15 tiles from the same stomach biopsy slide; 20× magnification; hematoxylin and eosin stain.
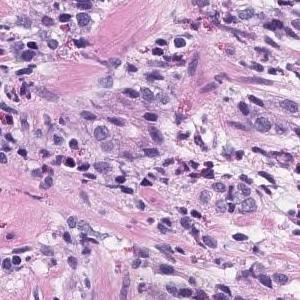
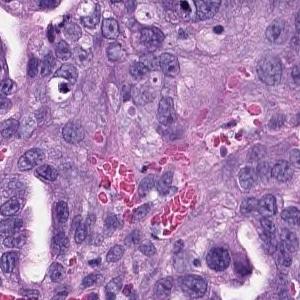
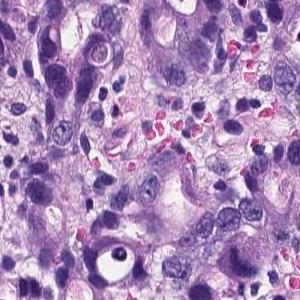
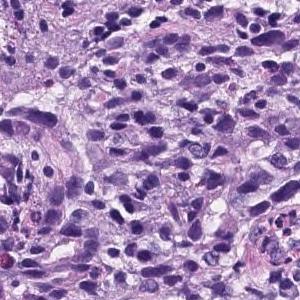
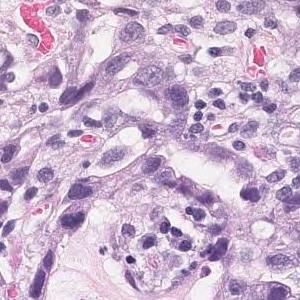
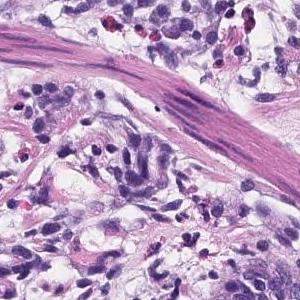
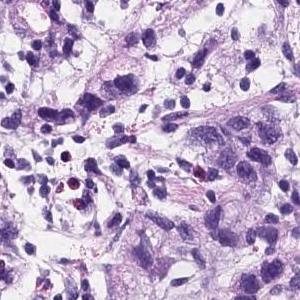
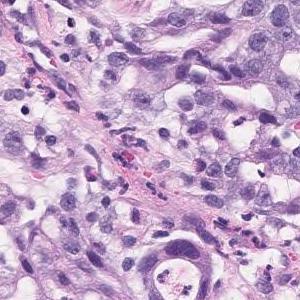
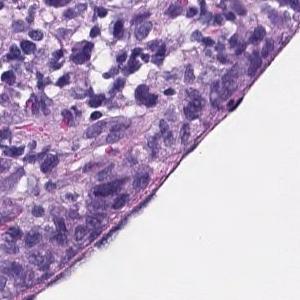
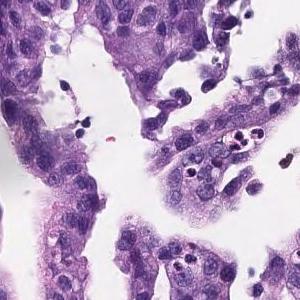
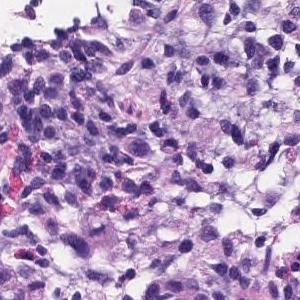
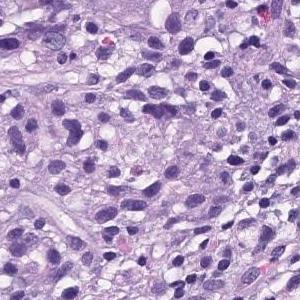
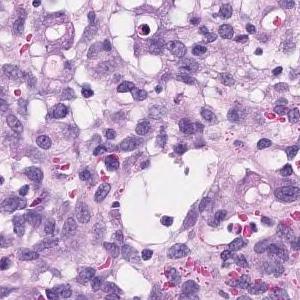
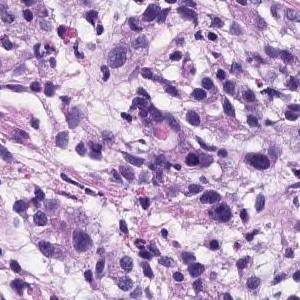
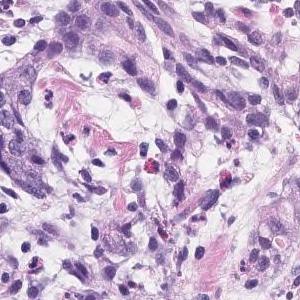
Pathology report for the slide these tiles were cut from. Both the report and the diagnosis are for the whole slide: these tiles need not show every feature named, and some of the tissue shown may not be tumor.
There are atypical l cells with atypical nuclei forming cord-like or irregular atypical ducts from solidity and proliferating in a comprehensive manner. Poorly differentiated adenocarcinoma, Moderately differentiated adenocarcinoma (poorly differentiated adenocarcinoma, solid type moderately differentiated tubular adenocarcinoma)
Histological subtype: Moderately to poorly differentiated adenocarcinoma.
"Solid type" is a category of the Japanese Classification of Gastric Carcinoma; in the WHO 2019 classification it is tubular adenocarcinoma, poorly differentiated.
